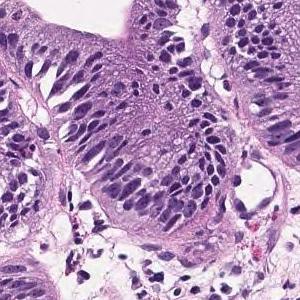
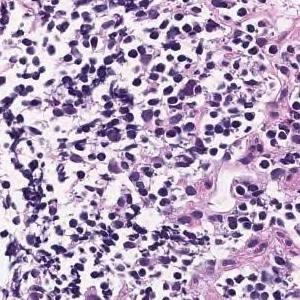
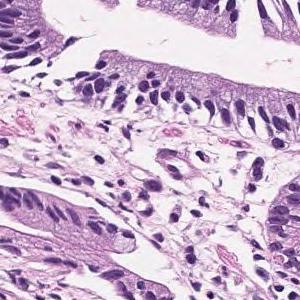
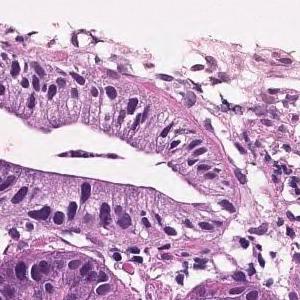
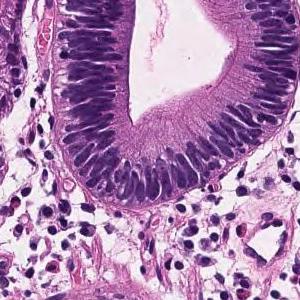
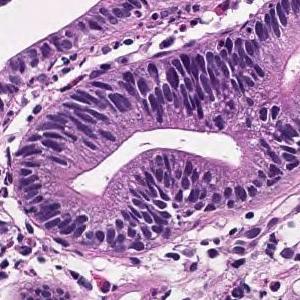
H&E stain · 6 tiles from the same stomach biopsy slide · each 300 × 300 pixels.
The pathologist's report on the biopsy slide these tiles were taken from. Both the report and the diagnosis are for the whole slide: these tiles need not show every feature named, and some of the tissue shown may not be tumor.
In the superficial epithelium, tumor tissue that invades by forming medium-sized to small, irregular ducts is observed. Well differentiated tubular adenocarcinoma.
